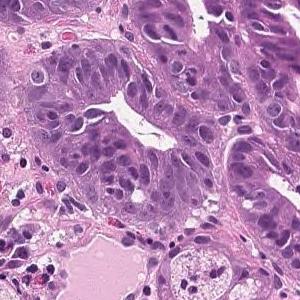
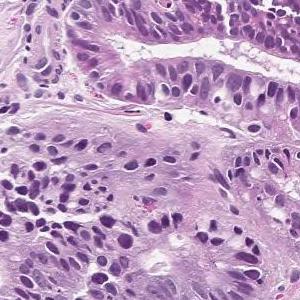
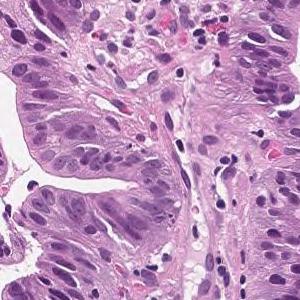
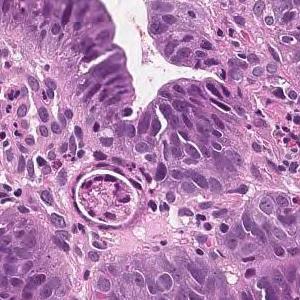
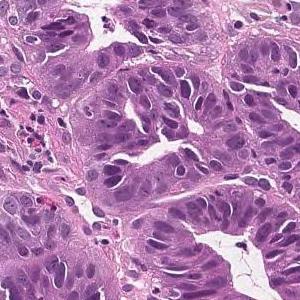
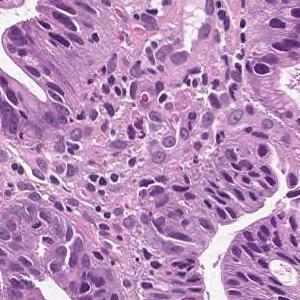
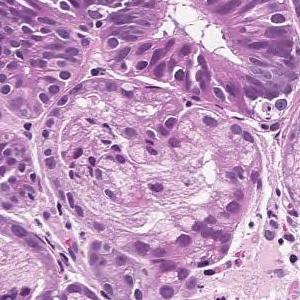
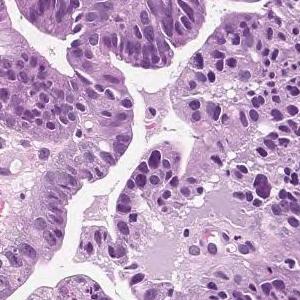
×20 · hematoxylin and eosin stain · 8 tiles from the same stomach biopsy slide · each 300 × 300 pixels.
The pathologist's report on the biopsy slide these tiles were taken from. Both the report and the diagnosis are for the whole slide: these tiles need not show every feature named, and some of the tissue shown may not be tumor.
From the superficial epithelium to the muscularis mucosae, tumor tissue consisting of medium-sized and irregular glandular ducts infiltrating is observed. Well differentiated tubular adenocarcinoma
